H&E stain, scanned at ×20, 8 tiles from the same stomach biopsy slide, each 300 × 300 pixels.
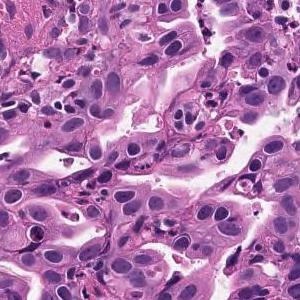
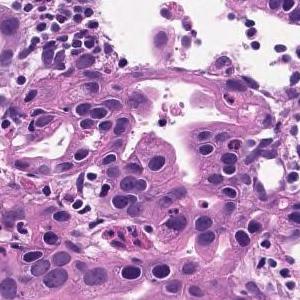
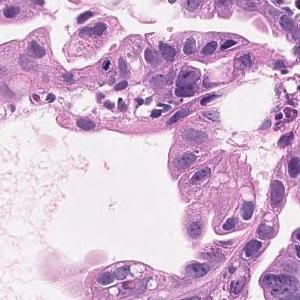
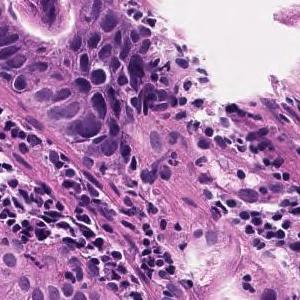
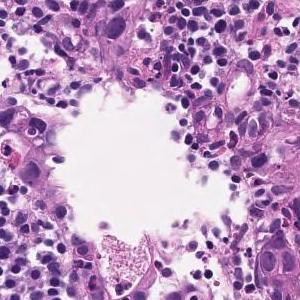
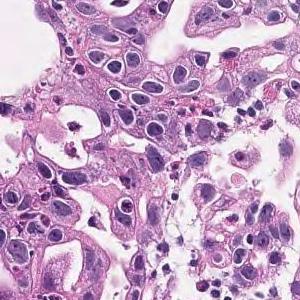
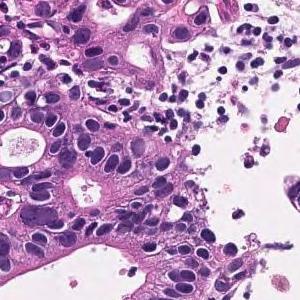
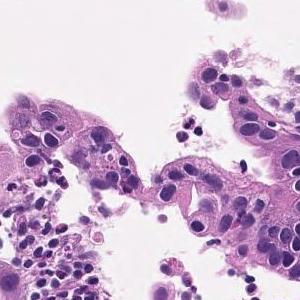
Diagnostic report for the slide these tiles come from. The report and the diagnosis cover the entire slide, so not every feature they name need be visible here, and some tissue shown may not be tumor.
In the superficial epithelium, tumor tissue that invades by forming medium-sized to small, irregular ducts is observed. moderately differentiated tubular adenocarcinoma.
